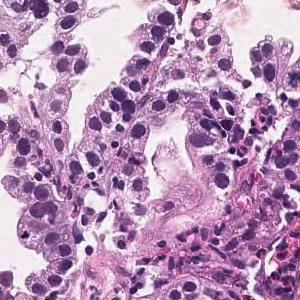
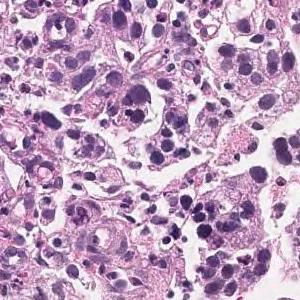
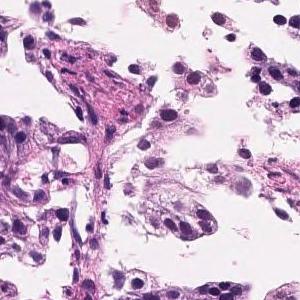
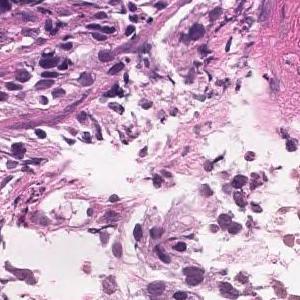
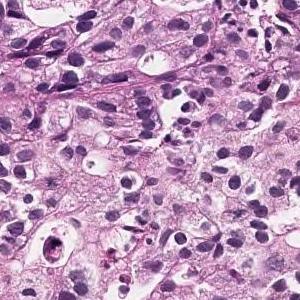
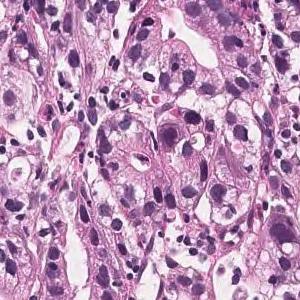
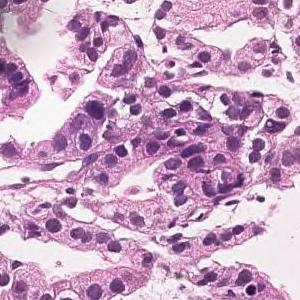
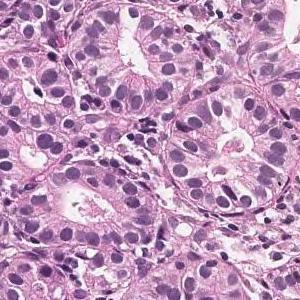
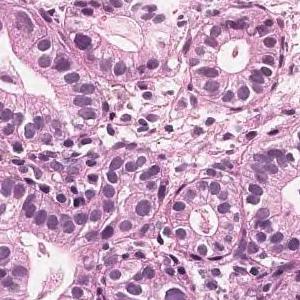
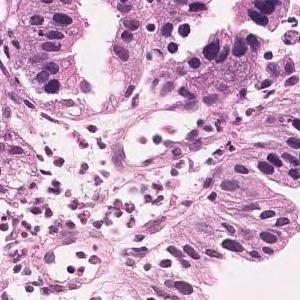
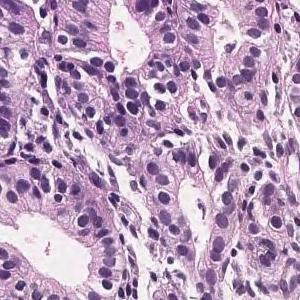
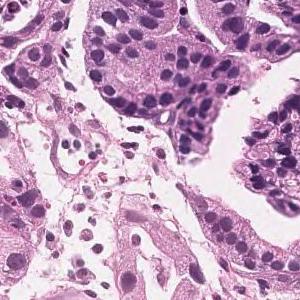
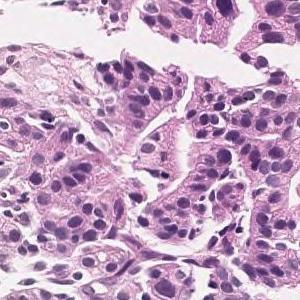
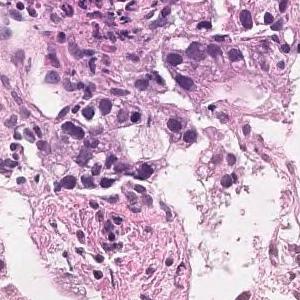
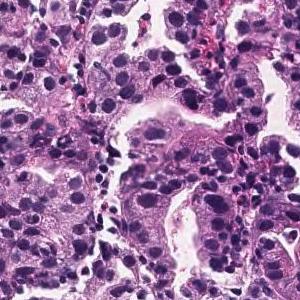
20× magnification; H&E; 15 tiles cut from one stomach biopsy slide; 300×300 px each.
Pathology report for the slide these tiles were cut from. Both the report and the diagnosis are for the whole slide: these tiles need not show every feature named, and some of the tissue shown may not be tumor.
In the superficial epithelium, tumor tissue that invades by forming medium-sized to small, irregular ducts is observed. moderately differentiated tubular adenocarcinoma.
